8 tiles from the same stomach biopsy slide; each 300 × 300 pixels.
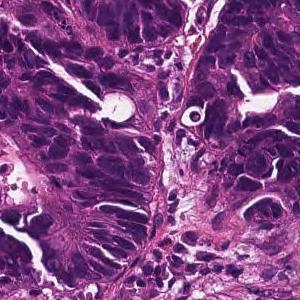
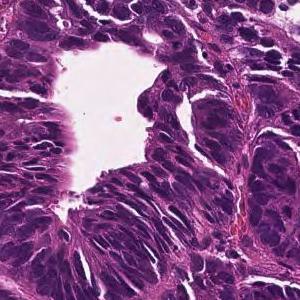
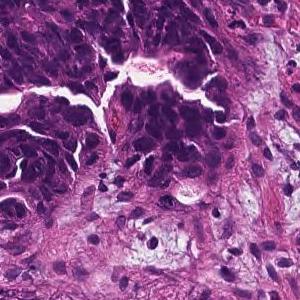
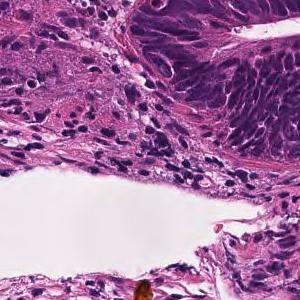
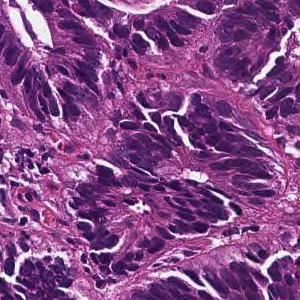
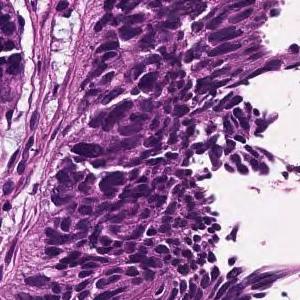
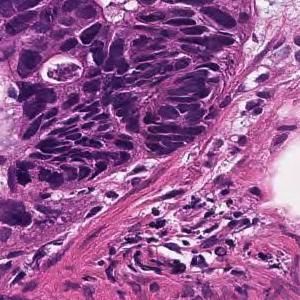
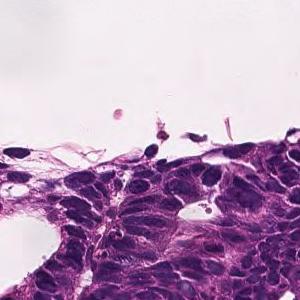
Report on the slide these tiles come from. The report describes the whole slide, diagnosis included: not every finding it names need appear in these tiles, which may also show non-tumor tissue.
In the superficial epithelium, tumor tissue that invades by forming medium-sized to small, irregular ducts is observed. moderately differentiated tubular adenocarcinoma.
